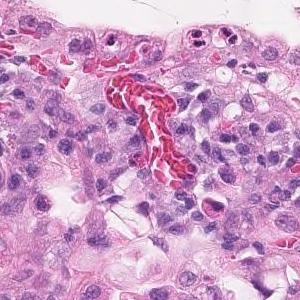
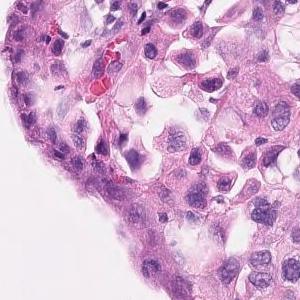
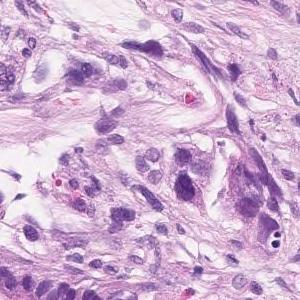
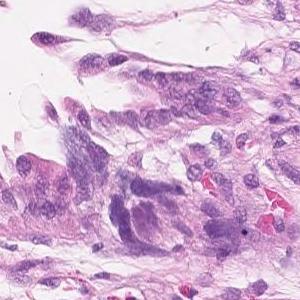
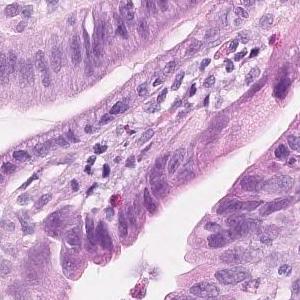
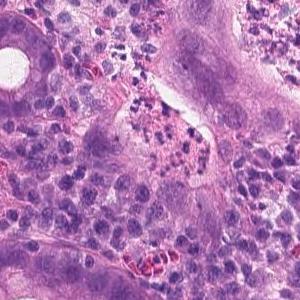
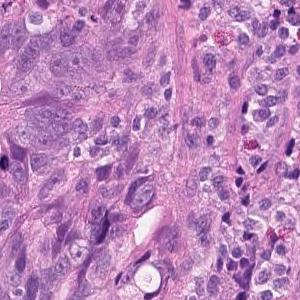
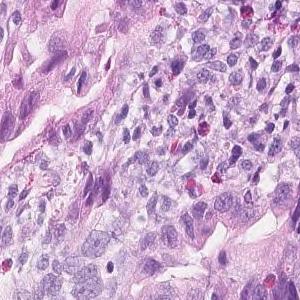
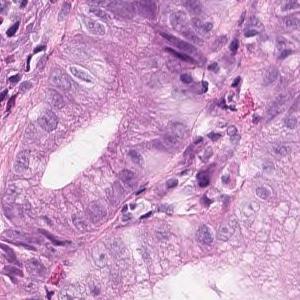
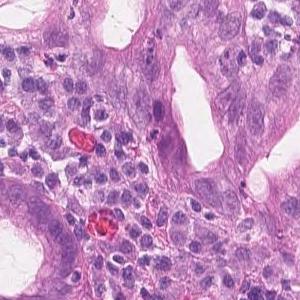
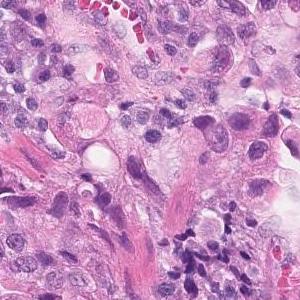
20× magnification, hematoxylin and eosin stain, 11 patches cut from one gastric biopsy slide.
Pathology report for the biopsy slide these tiles were cut from. Both the report and the diagnosis are for the whole slide: these tiles need not show every feature named, and some of the tissue shown may not be tumor.
Tumor tissue showing dense, fused or diffuse, and infiltrative growth of small atypical ducts is observed. moderately differentiated tubular adenocarcinoma
